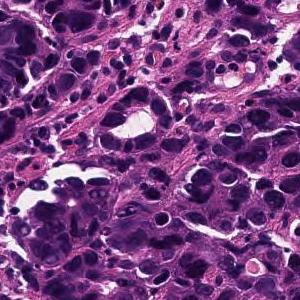
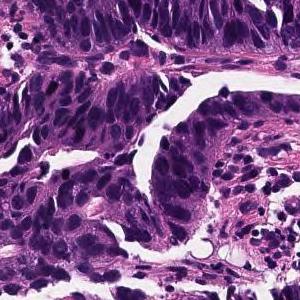
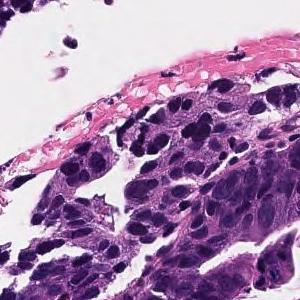
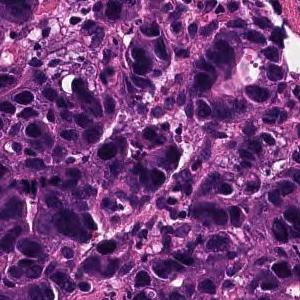
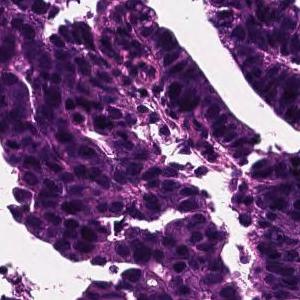
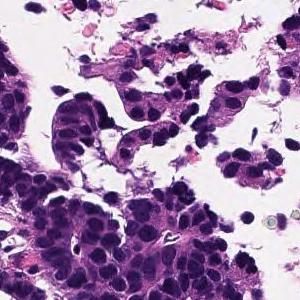
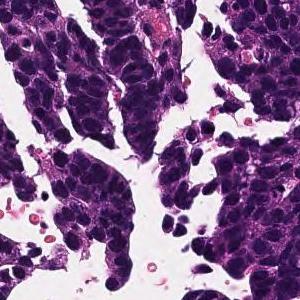
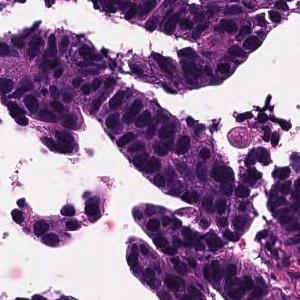
8 tiles from the same stomach biopsy slide · each 300 × 300 pixels · scanned at ×20 · H&E stain.
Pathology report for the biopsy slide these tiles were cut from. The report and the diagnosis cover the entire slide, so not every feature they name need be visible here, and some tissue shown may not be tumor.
In the superficial epithelium, tumor tissue that invades by forming medium-sized to small, irregular ducts is observed. moderately differentiated tubular adenocarcinoma.
